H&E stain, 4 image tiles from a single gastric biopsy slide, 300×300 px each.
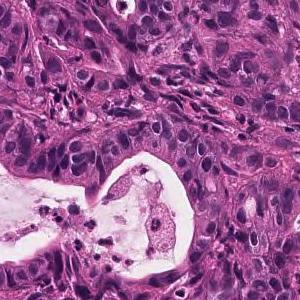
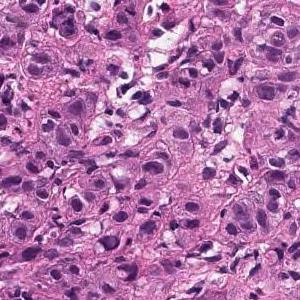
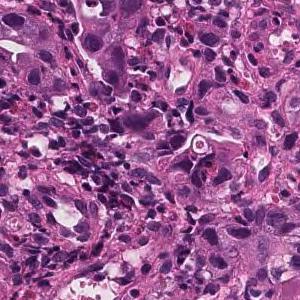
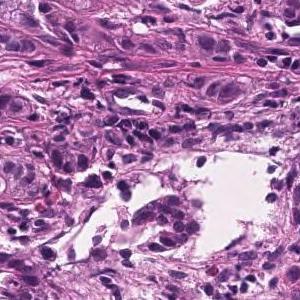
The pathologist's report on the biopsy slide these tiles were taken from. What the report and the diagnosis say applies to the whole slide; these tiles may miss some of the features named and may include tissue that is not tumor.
Tumor tissue consisting of medium-sized, cord-like or irregular glandular infiltration is observed in the superficial epithelium. Poorly differentiated adenocarcinoma, non-solid type or moderately differentiated tubular adenocarcinoma
The non-solid type named here is a Japanese Classification of Gastric Carcinoma category.
